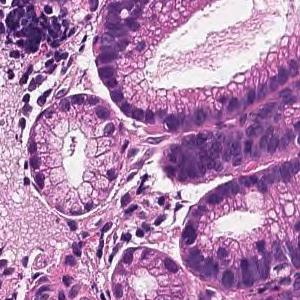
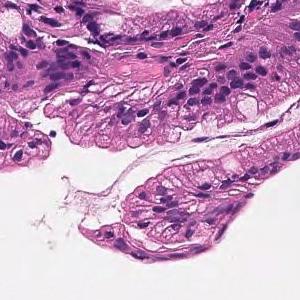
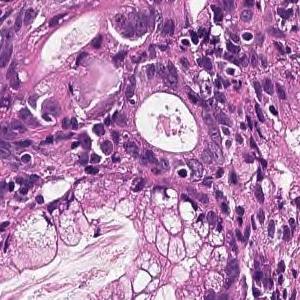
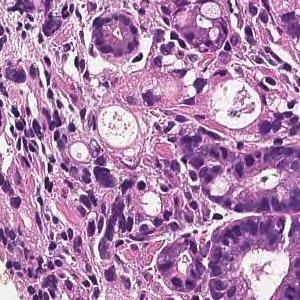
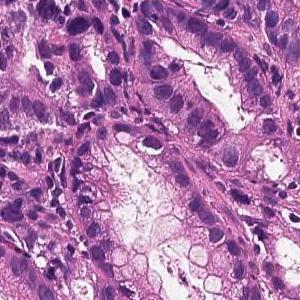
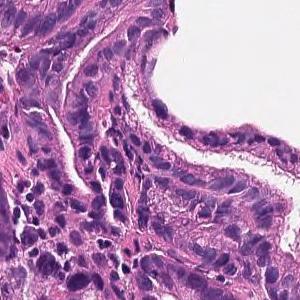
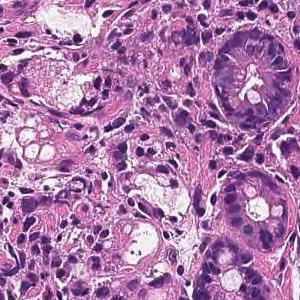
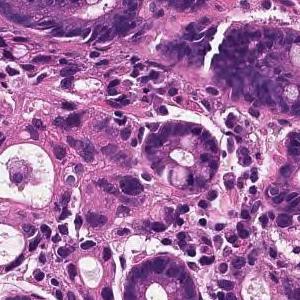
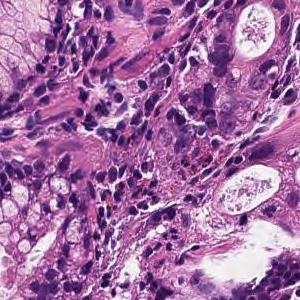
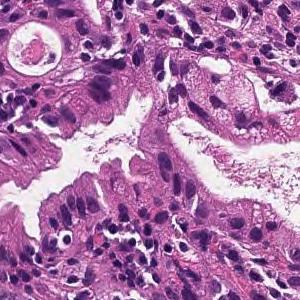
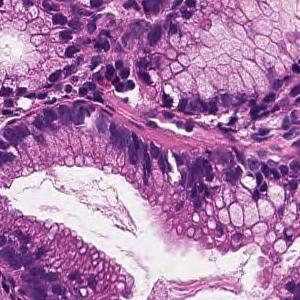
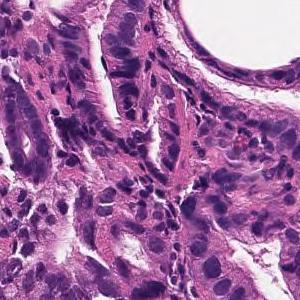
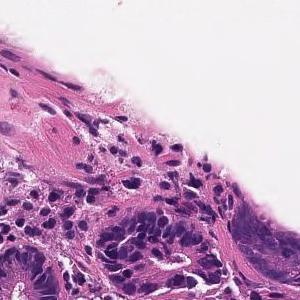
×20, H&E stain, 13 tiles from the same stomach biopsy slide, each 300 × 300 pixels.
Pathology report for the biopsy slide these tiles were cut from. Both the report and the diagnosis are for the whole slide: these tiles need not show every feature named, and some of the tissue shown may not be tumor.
From the superficial epithelium to the muscularis mucosae, tumor tissue consisting of medium-sized and irregular glandular ducts infiltrating is observed. Well differentiated tubular adenocarcinoma
